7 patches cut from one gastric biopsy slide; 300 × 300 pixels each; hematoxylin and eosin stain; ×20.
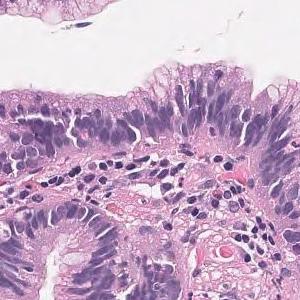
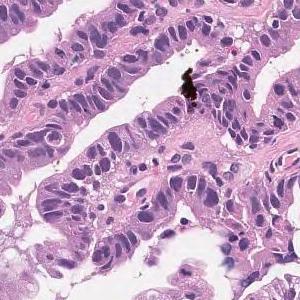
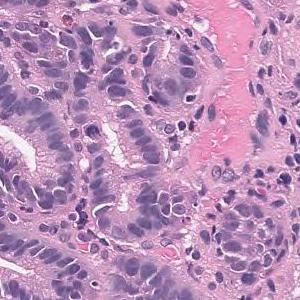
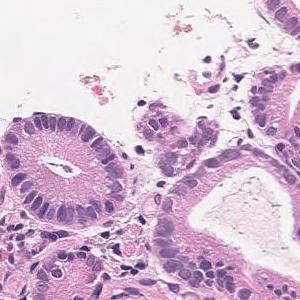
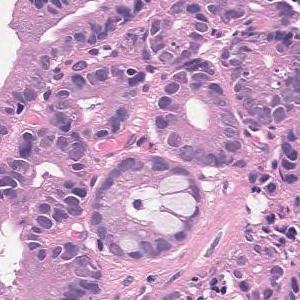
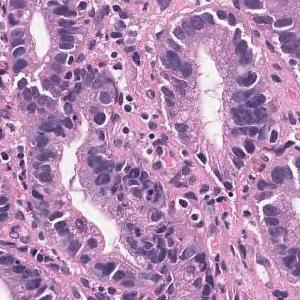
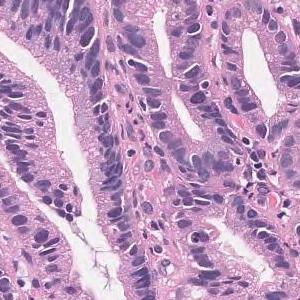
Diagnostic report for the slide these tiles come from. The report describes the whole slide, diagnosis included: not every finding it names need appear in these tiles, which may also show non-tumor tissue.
Tumor tissue that grows tubular from the surface to the glandular fossa is seen. Adenocarcinoma.
Subtype: Well differentiated tubular adenocarcinoma.
